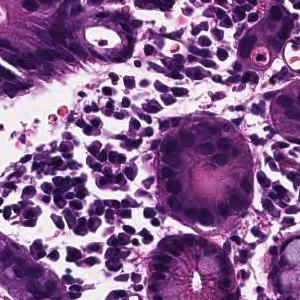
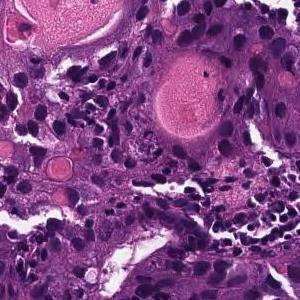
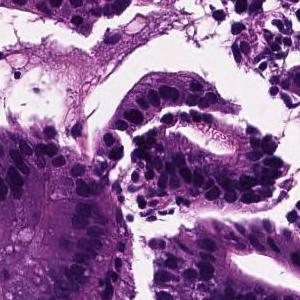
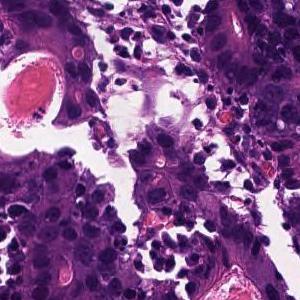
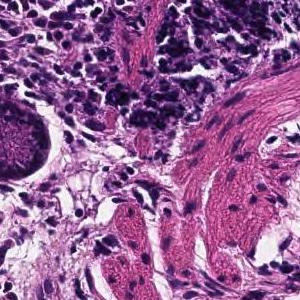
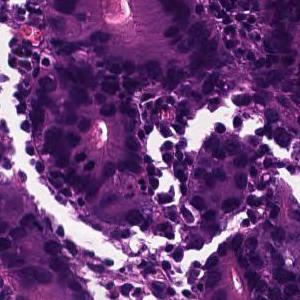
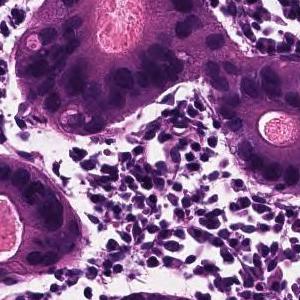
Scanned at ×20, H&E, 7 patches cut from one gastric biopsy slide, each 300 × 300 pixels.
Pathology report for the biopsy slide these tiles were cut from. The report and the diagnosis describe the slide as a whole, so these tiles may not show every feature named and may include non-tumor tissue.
From the superficial epithelium to the muscularis mucosae, tumor tissue infiltrating by forming medium-sized irregular gland ducts is observed. Large tumor cells exhibit large nucleus and hyperchromatism. Well differentiated tubular adenocarcinoma
